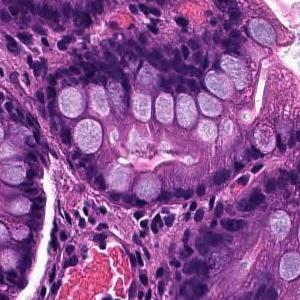
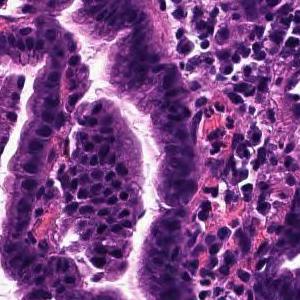
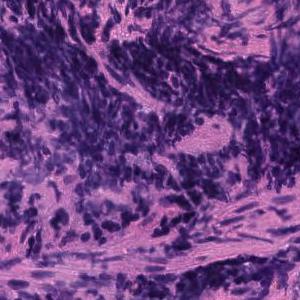
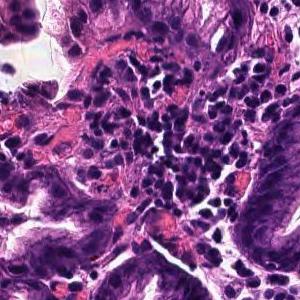
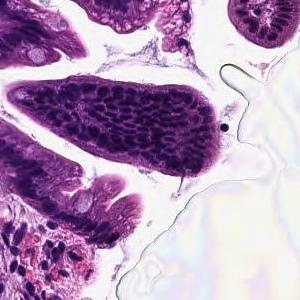
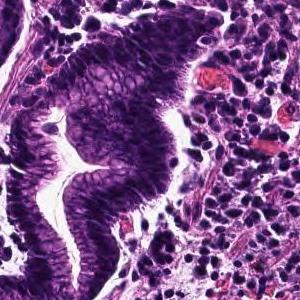
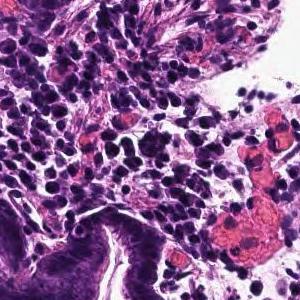
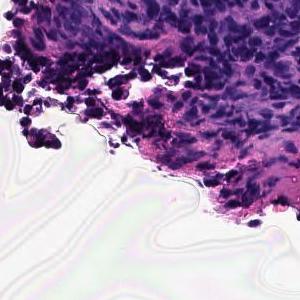
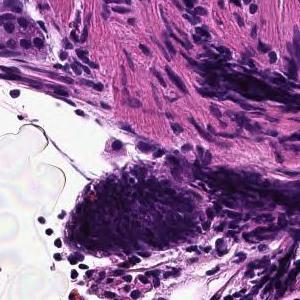
9 tiles from the same stomach biopsy slide; 300×300 px each; ×20.
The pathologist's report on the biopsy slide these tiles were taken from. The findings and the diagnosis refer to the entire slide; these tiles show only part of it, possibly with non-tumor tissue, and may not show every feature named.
The superficial epithelium shows a large sheet-like shape, and some tumor tissue infiltrates with small irregular ducts. Poorly differentiated adenocarcinoma, solid-type
Classified as poorly differentiated adenocarcinoma, solid type, a category of the Japanese Classification of Gastric Carcinoma; in the WHO 2019 classification it is tubular adenocarcinoma, poorly differentiated.
